5 patches cut from one gastric biopsy slide · each 300 × 300 pixels · H&E.
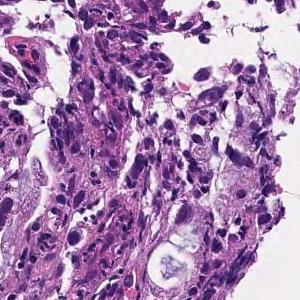
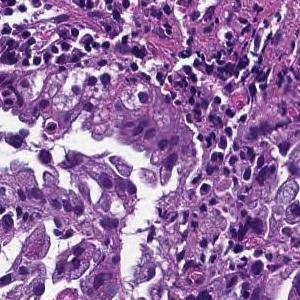
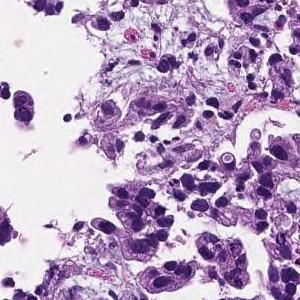
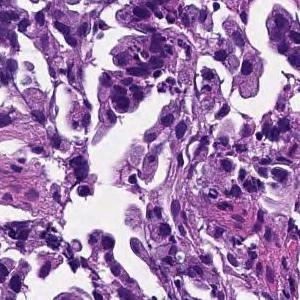
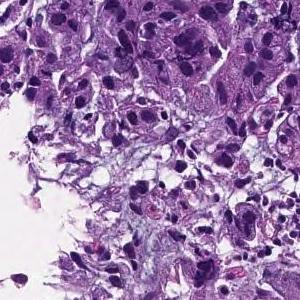
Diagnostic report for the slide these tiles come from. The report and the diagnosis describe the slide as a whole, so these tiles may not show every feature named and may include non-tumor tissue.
Tumor tissue consisting of medium-sized, cord-like or irregular glandular infiltration is observed in the superficial epithelium. Poorly differentiated adenocarcinoma, non-solid type or moderately differentiated tubular adenocarcinoma
Histologic type: Moderately to poorly differentiated adenocarcinoma.
The term "non-solid type" comes from the Japanese Classification of Gastric Carcinoma.
